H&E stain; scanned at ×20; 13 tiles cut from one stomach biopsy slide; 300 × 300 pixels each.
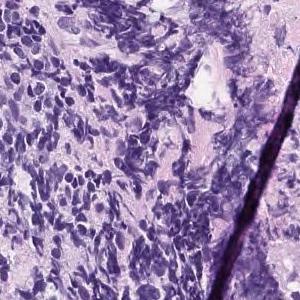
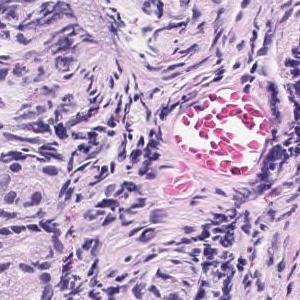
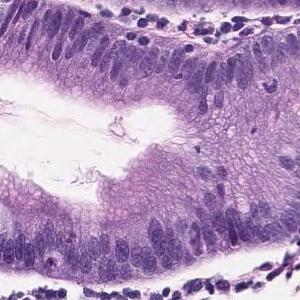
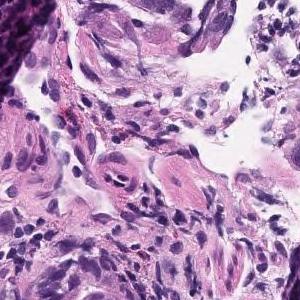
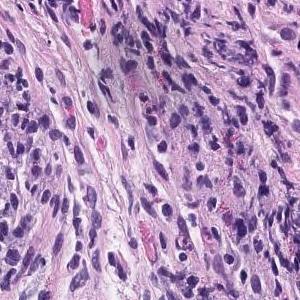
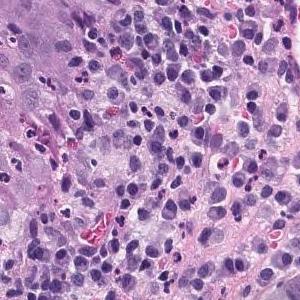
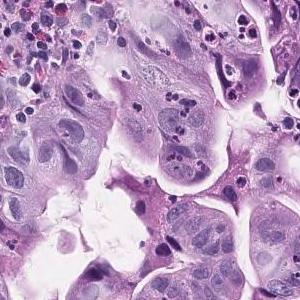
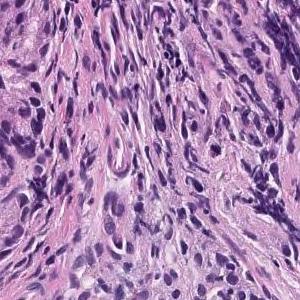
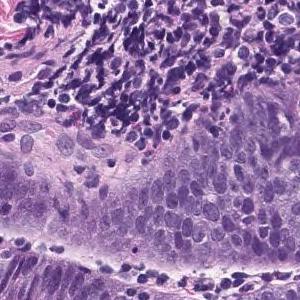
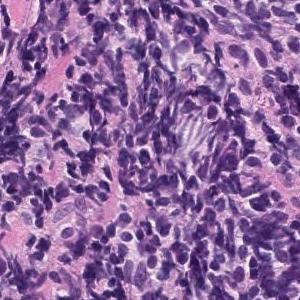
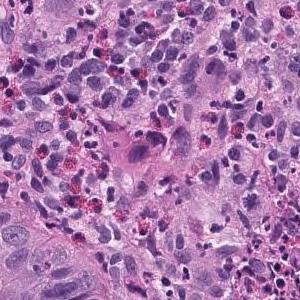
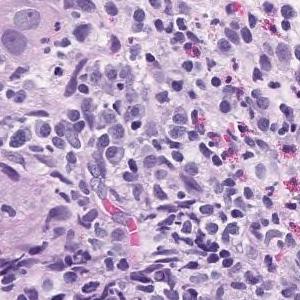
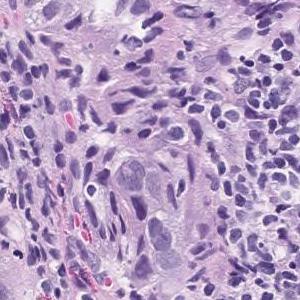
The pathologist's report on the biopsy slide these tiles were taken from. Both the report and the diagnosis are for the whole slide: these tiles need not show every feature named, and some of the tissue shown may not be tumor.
Atypical epithelium replaces superficial epithelium or localized ducts, or grows while forming irregular ducts. Well differentiated tubular adenocarcinoma
